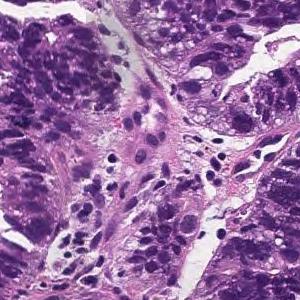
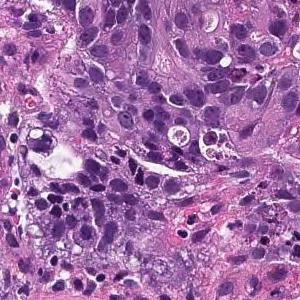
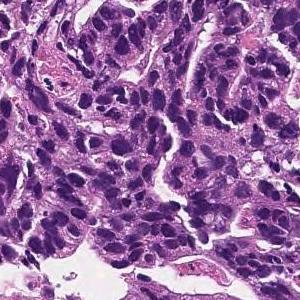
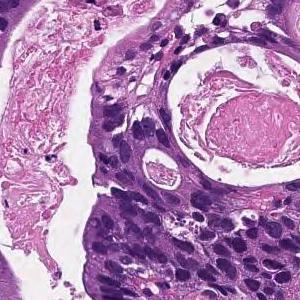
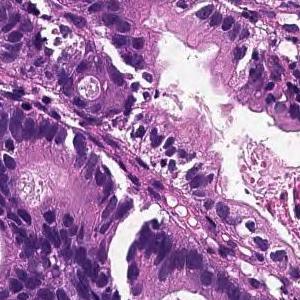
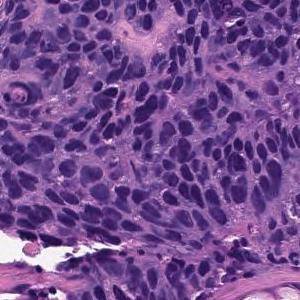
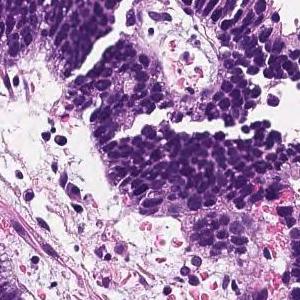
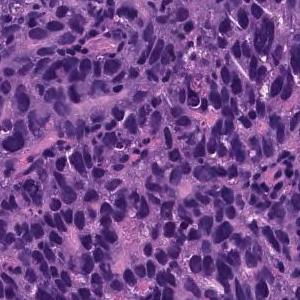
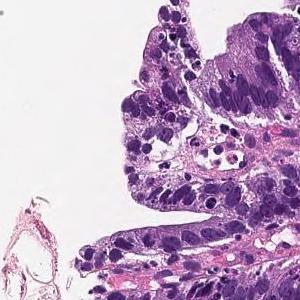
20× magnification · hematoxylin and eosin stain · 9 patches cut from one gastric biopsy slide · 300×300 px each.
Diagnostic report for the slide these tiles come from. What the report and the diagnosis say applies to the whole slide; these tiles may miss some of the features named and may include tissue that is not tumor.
In the superficial epithelium, tumor tissue that invades by forming medium-sized to small, irregular ducts is observed. moderately differentiated tubular adenocarcinoma.
